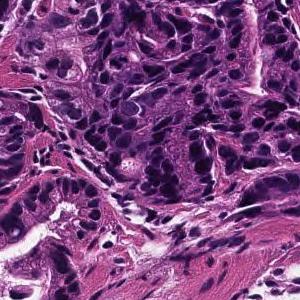
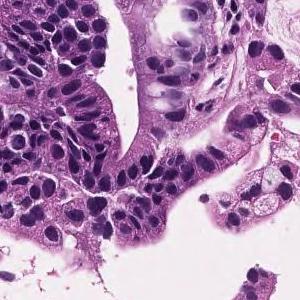
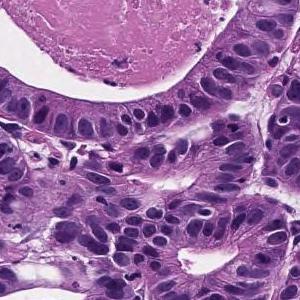
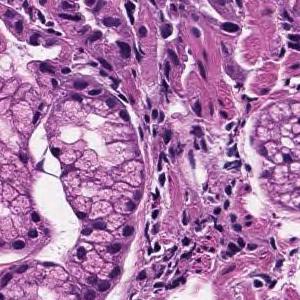
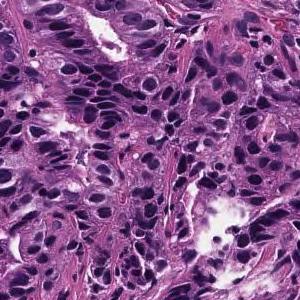
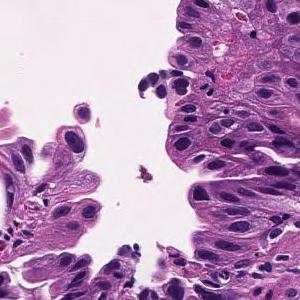
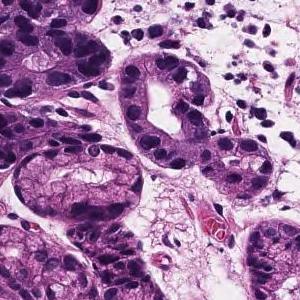
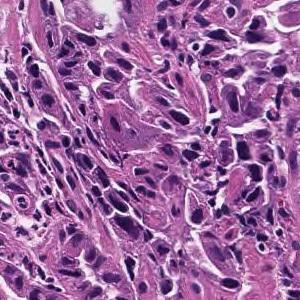
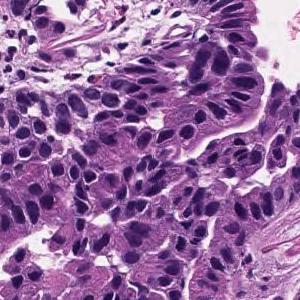
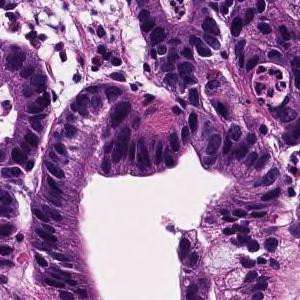
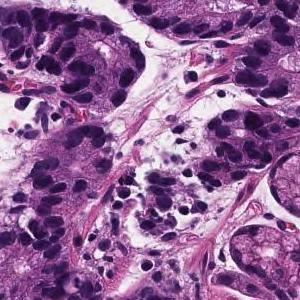
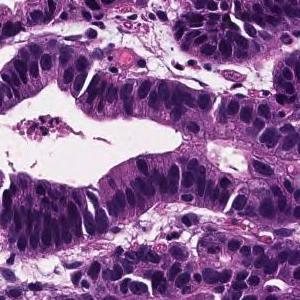
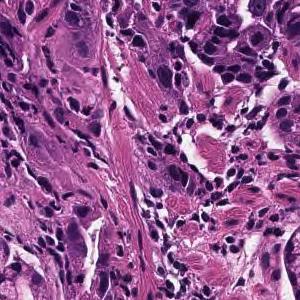
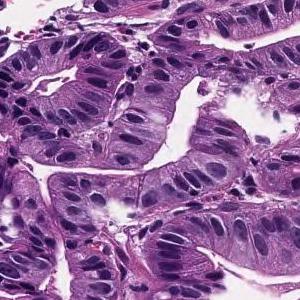
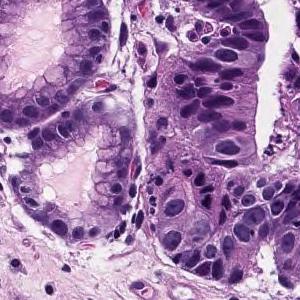
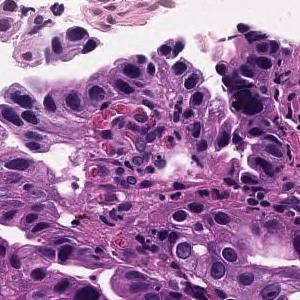
Hematoxylin and eosin stain, scanned at ×20, 16 image tiles from a single gastric biopsy slide, 300×300 px each.
Pathology report for the slide these tiles were cut from. The report and the diagnosis cover the entire slide, so not every feature they name need be visible here, and some tissue shown may not be tumor.
In the superficial epithelium, tumor tissue that invades by forming medium-sized to small, irregular ducts is observed. Well differentiated tubular adenocarcinoma.
